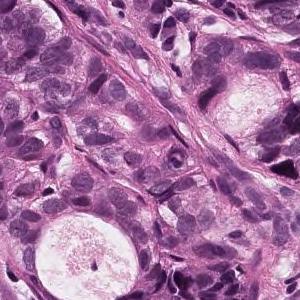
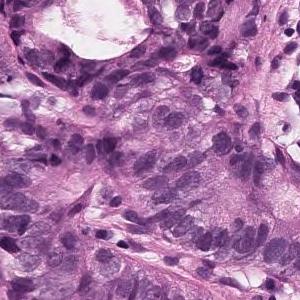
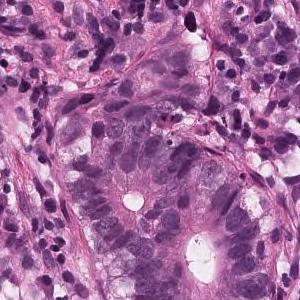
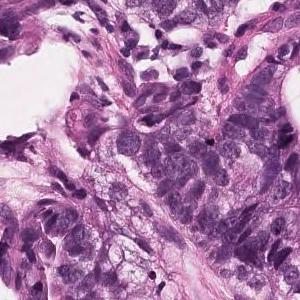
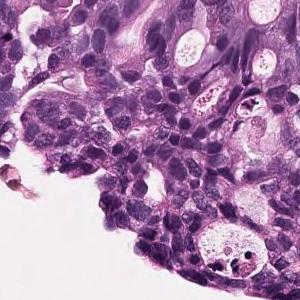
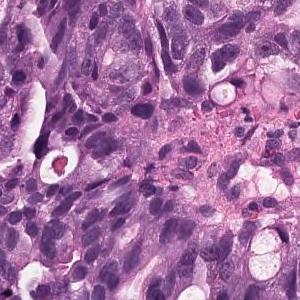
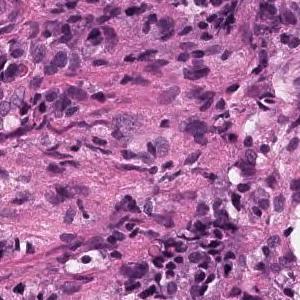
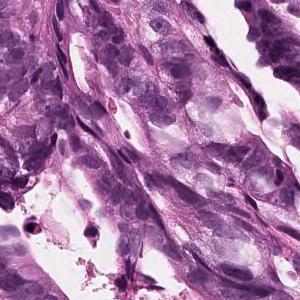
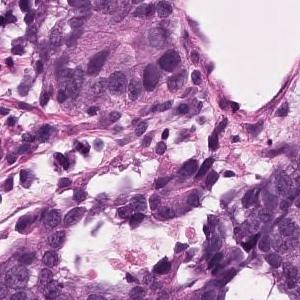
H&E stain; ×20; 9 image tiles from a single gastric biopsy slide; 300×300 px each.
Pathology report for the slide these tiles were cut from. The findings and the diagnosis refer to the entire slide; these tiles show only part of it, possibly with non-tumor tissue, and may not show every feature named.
On the superficial epithelium, tumor tissue consisting of large, irregular glandular ducts partially fused and infiltrated is observed. Well to moderately differentiated tubular adenocarcinoma (well differentiated tubular adenocarcinoma, moderately differentiated tubular adenocarcinoma)
Tumor subtype: well to moderately differentiated tubular adenocarcinoma.
